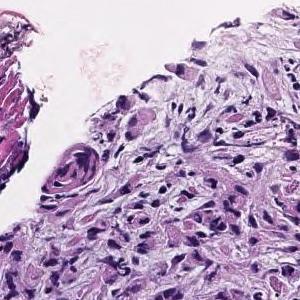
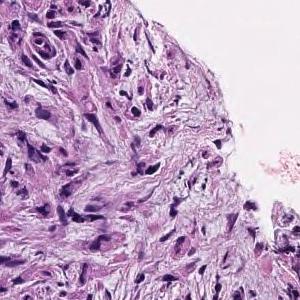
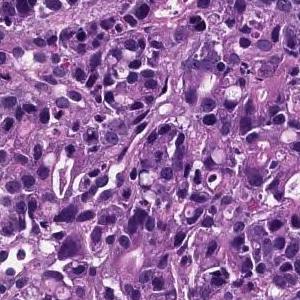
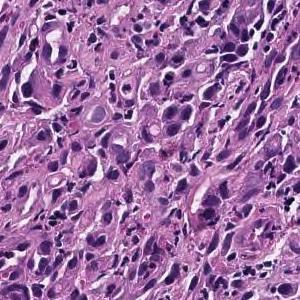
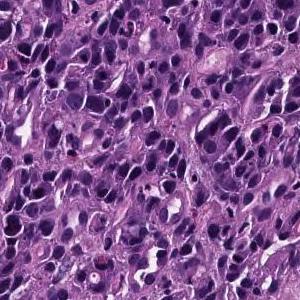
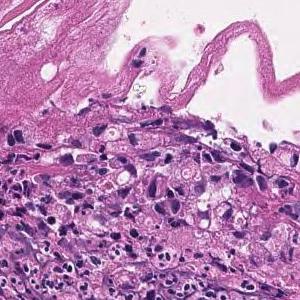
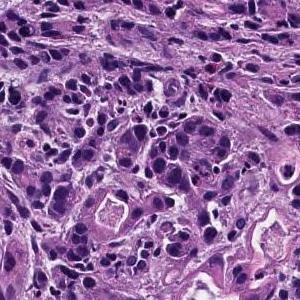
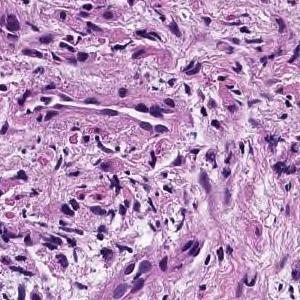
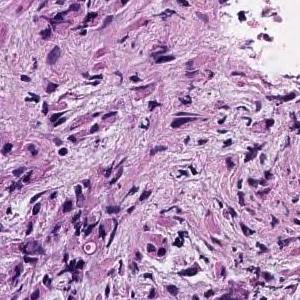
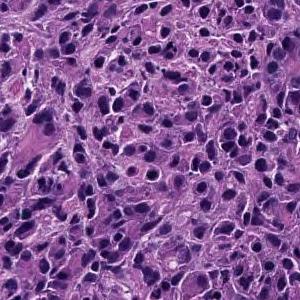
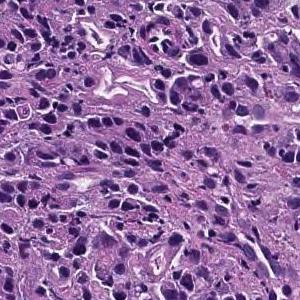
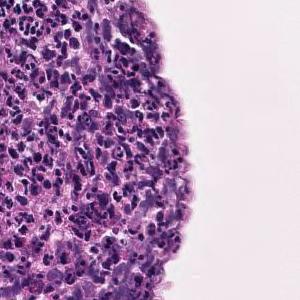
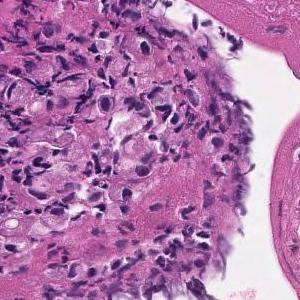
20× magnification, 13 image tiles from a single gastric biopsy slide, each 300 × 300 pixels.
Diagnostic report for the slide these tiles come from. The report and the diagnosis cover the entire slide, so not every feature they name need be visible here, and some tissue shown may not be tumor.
The superficial epithelium shows a large sheet-like shape, and some tumor tissue infiltrates with small irregular ducts. Poorly differentiated adenocarcinoma, solid-type
Tumor subtype: poorly differentiated adenocarcinoma, solid type (Japanese Classification of Gastric Carcinoma). The WHO 2019 equivalent is tubular adenocarcinoma, poorly differentiated.
